14 tiles from the same stomach biopsy slide; H&E; 20× magnification.
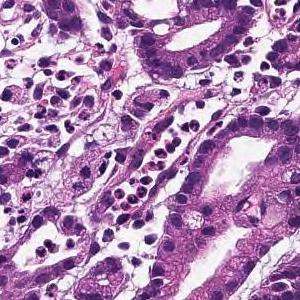
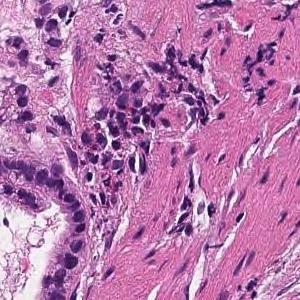
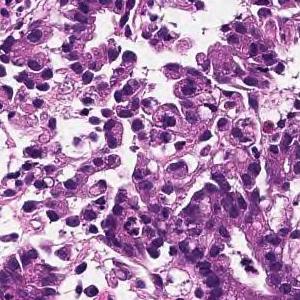
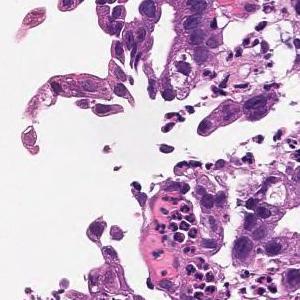
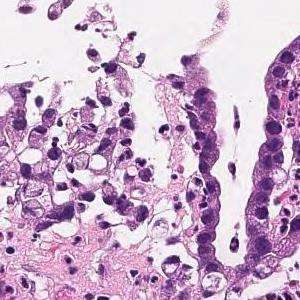
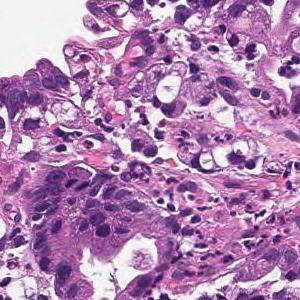
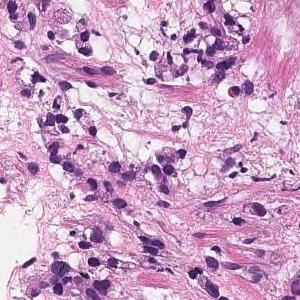
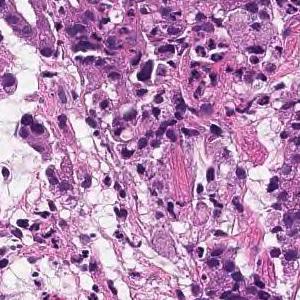
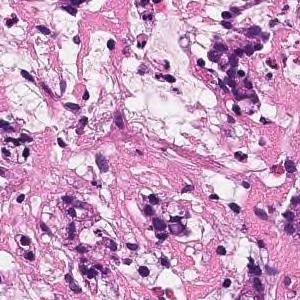
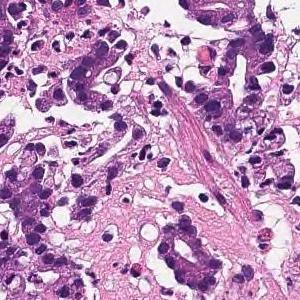
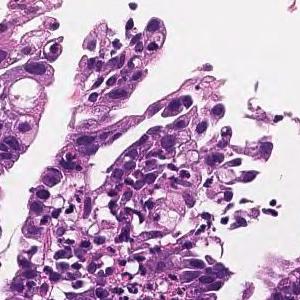
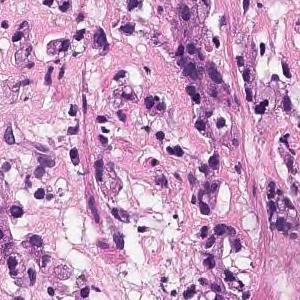
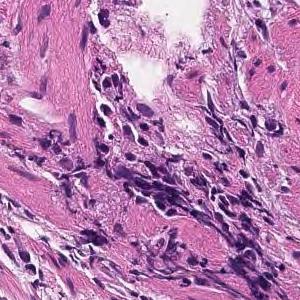
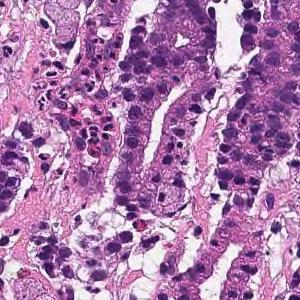
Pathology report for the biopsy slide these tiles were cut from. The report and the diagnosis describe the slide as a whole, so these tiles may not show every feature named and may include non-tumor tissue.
In the superficial epithelium, tumor tissue that invades by forming medium-sized to small, irregular ducts is observed. moderately differentiated tubular adenocarcinoma.
